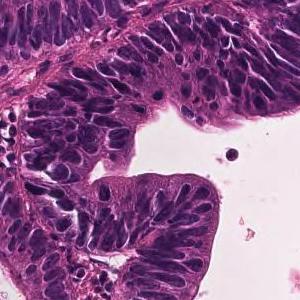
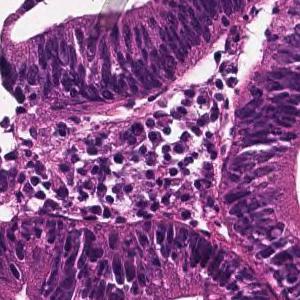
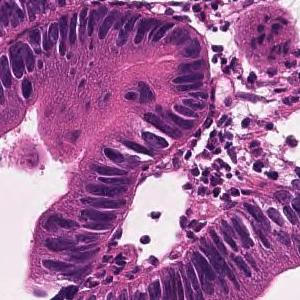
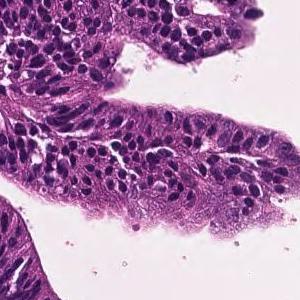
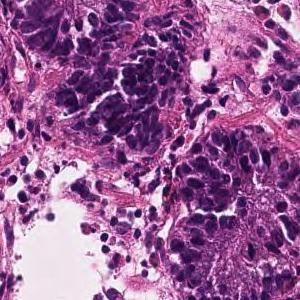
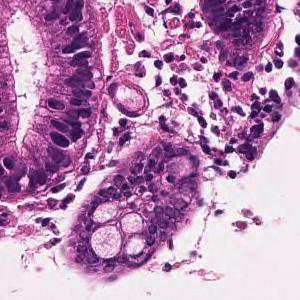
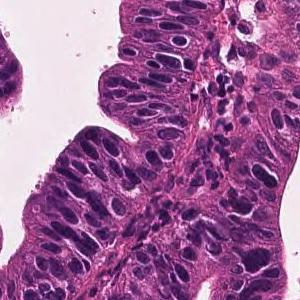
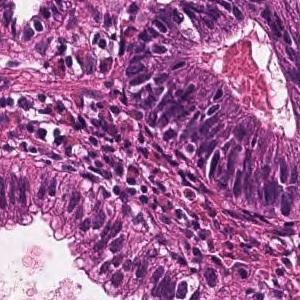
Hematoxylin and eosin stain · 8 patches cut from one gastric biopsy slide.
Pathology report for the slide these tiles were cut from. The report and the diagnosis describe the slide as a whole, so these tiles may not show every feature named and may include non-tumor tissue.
A large irregular tubular structure is exhibited in the epithelium, and tumor tissue that partially fuses and infiltrates and proliferates is observed. Large columnar tumor cells exhibit enlarged nucleus, hyperchromatism, and mitotic figures. Well differentiated tubular adenocarcinoma
